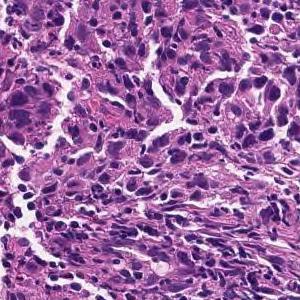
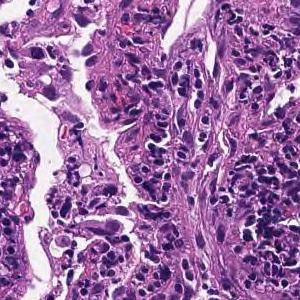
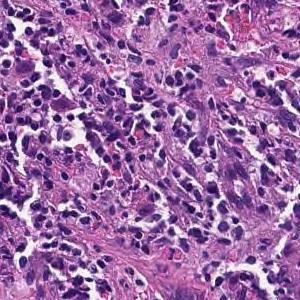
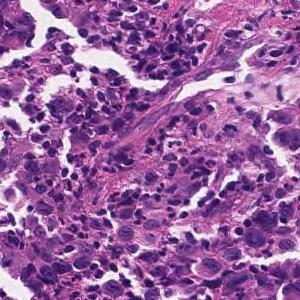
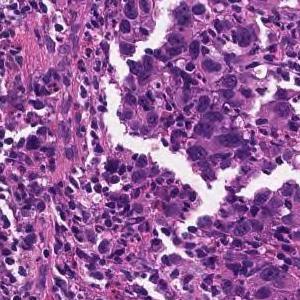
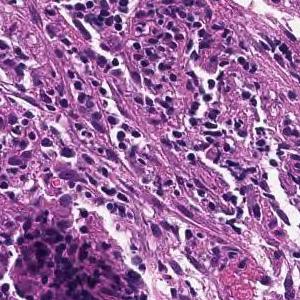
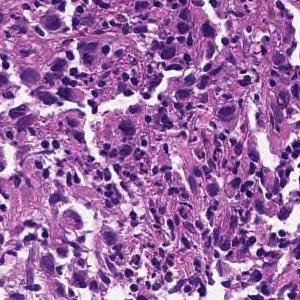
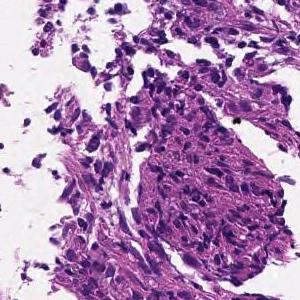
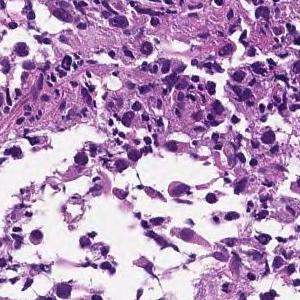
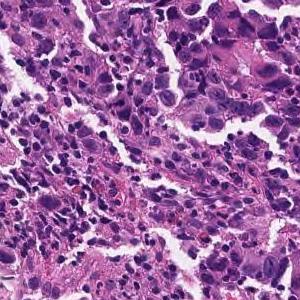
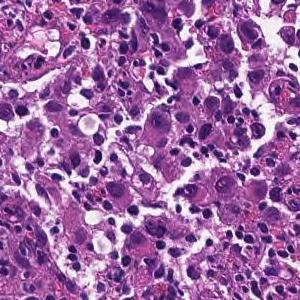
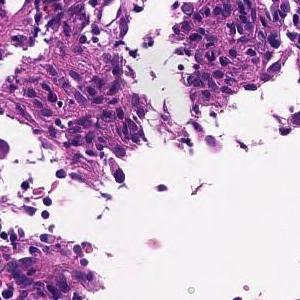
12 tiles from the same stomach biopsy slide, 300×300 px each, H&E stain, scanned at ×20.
Pathology report for the biopsy slide these tiles were cut from. Both the report and the diagnosis are for the whole slide: these tiles need not show every feature named, and some of the tissue shown may not be tumor.
The superficial epithelium shows a large sheet-like shape, and some tumor tissue infiltrates with small irregular ducts. Poorly differentiated adenocarcinoma, solid-type (poorly differentiated adenocarcinoma, solid type)
Histological subtype: Poorly differentiated adenocarcinoma, solid type, a category of the Japanese Classification of Gastric Carcinoma; in the WHO 2019 classification it is tubular adenocarcinoma, poorly differentiated.
